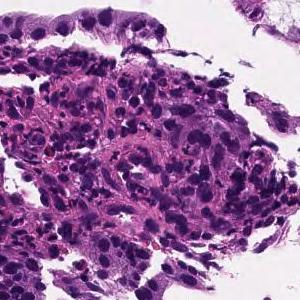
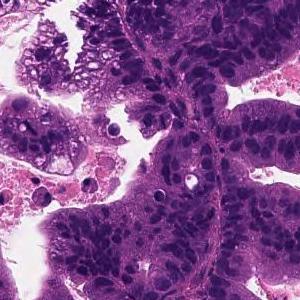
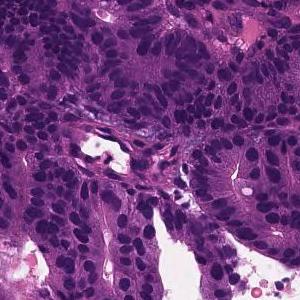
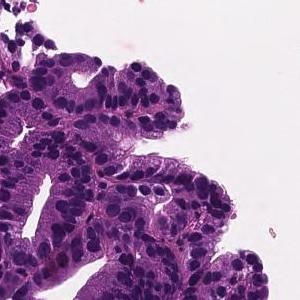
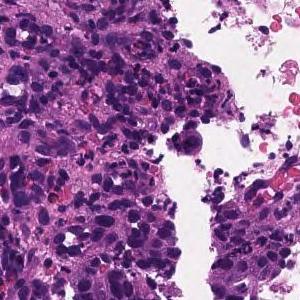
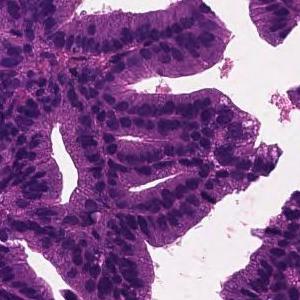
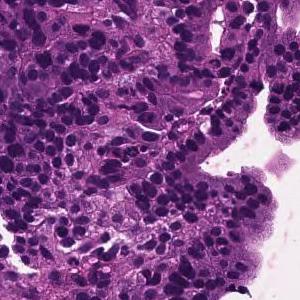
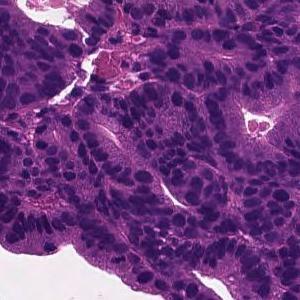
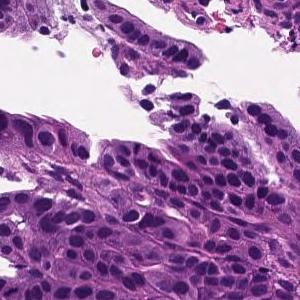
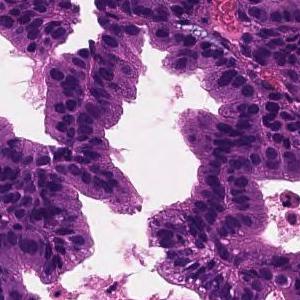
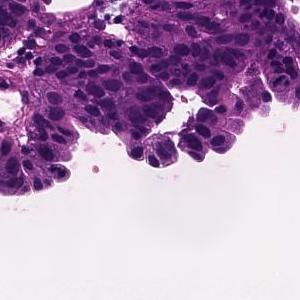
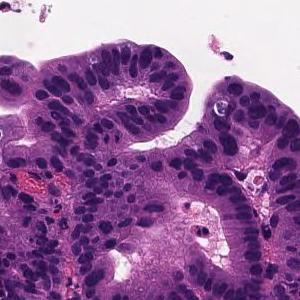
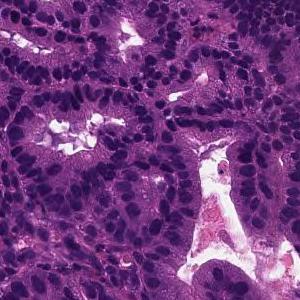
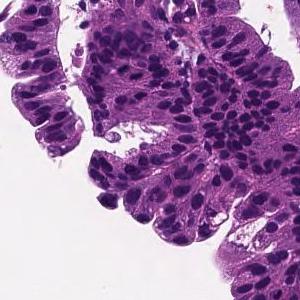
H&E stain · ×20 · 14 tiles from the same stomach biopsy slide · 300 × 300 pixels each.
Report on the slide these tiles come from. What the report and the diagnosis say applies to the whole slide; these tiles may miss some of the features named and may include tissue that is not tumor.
Tumor cells are large, highly columnar, large club-shaped nuclei, and are associated with chromatin aggregation. Papillary adenocarcinoma.
